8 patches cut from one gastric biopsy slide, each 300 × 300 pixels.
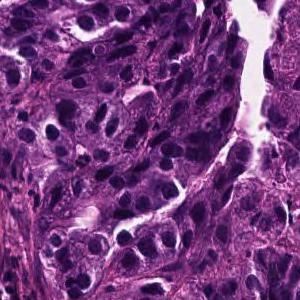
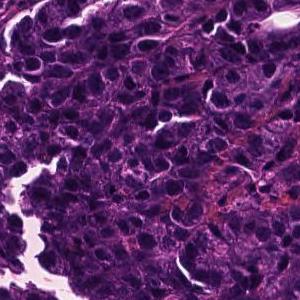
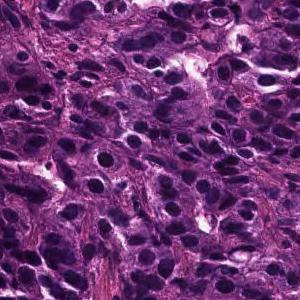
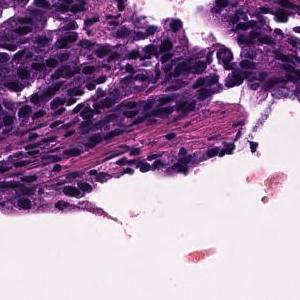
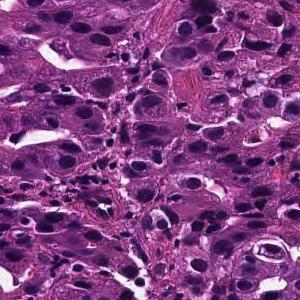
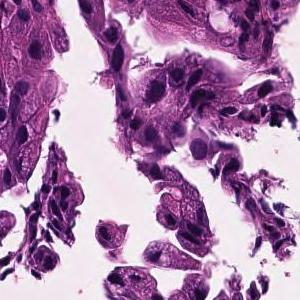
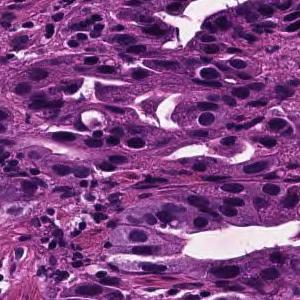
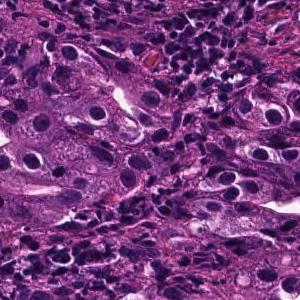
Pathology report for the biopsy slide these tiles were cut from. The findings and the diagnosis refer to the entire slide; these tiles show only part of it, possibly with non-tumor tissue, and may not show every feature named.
Tumor tissue consisting of medium-sized, cord-like or irregular glandular fusion and infiltration is observed in the superficial epithelium. Poorly differentiated adenocarcinoma, non-solid type or moderately differentiated tubular adenocarcinoma
Histologic type: Moderately to poorly differentiated adenocarcinoma.
The non-solid type named here is a Japanese Classification of Gastric Carcinoma category.
